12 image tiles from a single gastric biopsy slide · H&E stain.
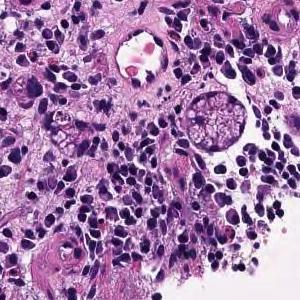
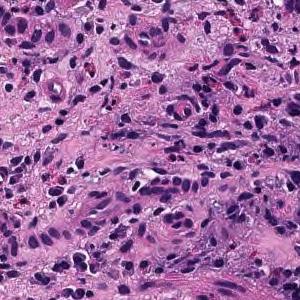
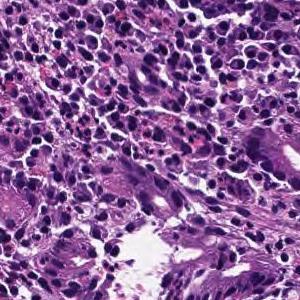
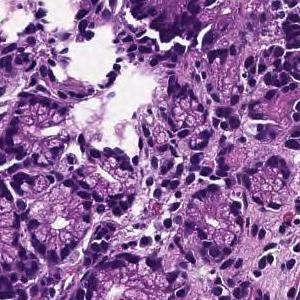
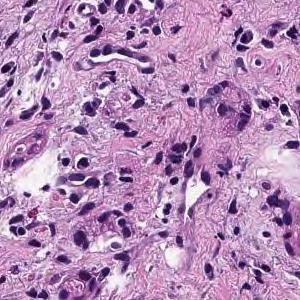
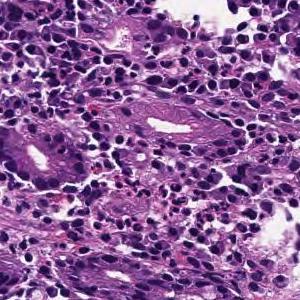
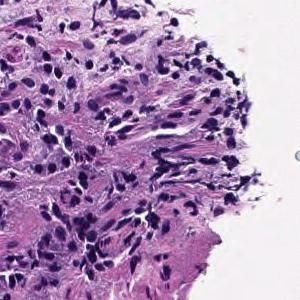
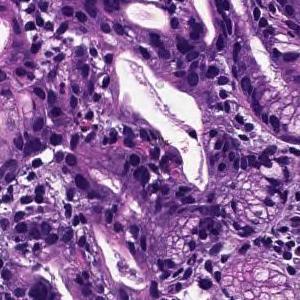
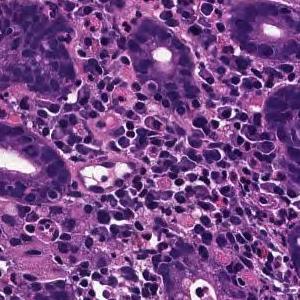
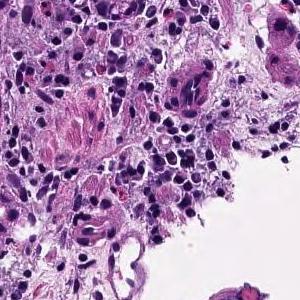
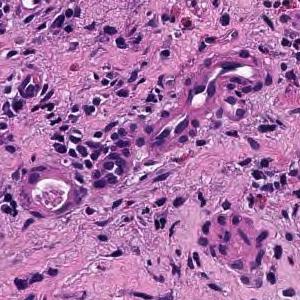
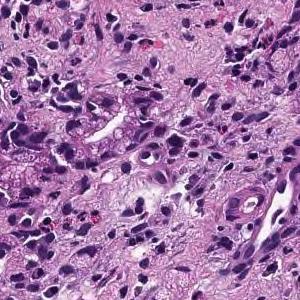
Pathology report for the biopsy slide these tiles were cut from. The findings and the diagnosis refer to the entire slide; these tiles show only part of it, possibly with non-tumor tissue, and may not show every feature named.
In the superficial epithelium, tumor tissue that invades by forming medium-sized to small, irregular ducts is observed. moderately differentiated tubular adenocarcinoma.
